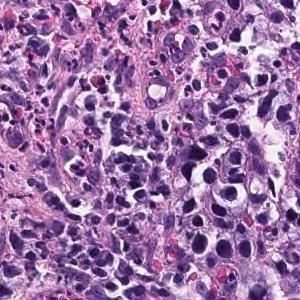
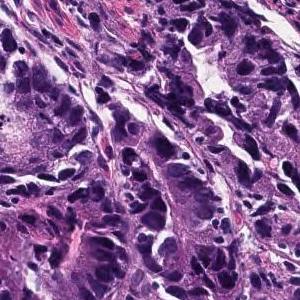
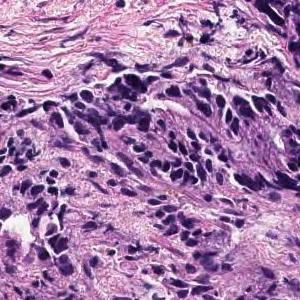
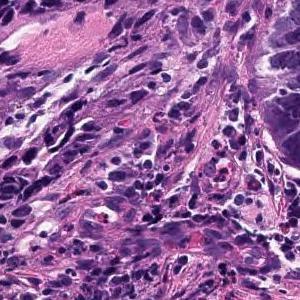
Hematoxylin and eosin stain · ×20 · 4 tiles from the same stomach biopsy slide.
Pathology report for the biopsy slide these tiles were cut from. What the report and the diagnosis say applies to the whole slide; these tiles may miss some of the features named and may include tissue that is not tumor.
In the superficial epithelium, tumor tissue that invades by forming medium-sized to small, irregular ducts is observed. Tumor cells are columnar or cuboidal in shape. Moderately differentiated adenocarcinoma.
Classified as moderately differentiated tubular adenocarcinoma.
